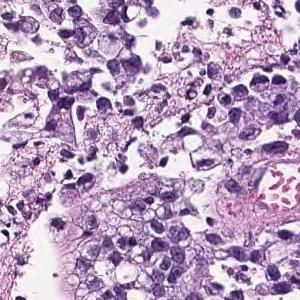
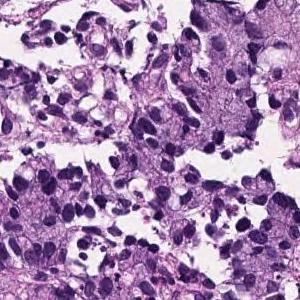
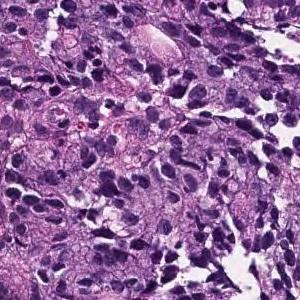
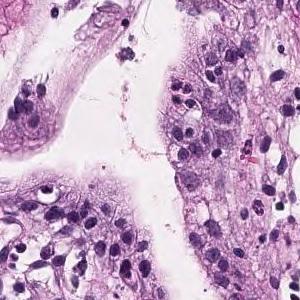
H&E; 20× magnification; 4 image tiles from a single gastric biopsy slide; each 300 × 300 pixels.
The pathologist's report on the biopsy slide these tiles were taken from. The report and the diagnosis cover the entire slide, so not every feature they name need be visible here, and some tissue shown may not be tumor.
Tumor tissue infiltrated by irregular fusion of small cord-like structures is found in the superficial epithelium. Poorly differentiated adenocarcinoma, non-solid type
The non-solid type named here is a Japanese Classification of Gastric Carcinoma category.
